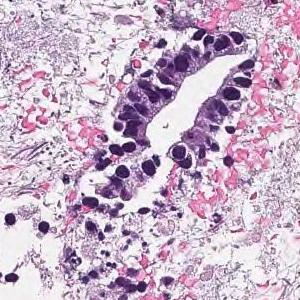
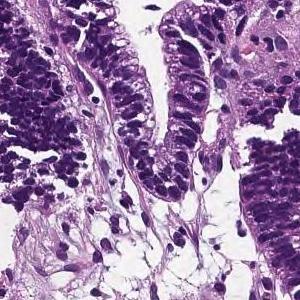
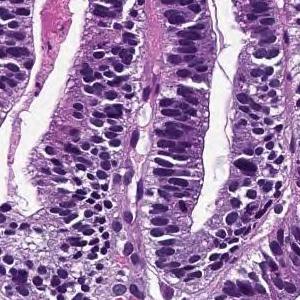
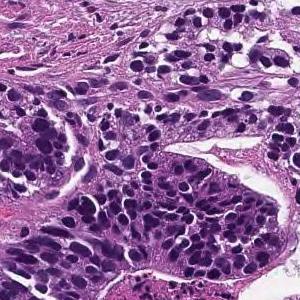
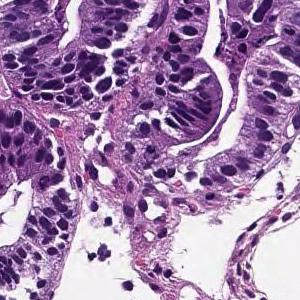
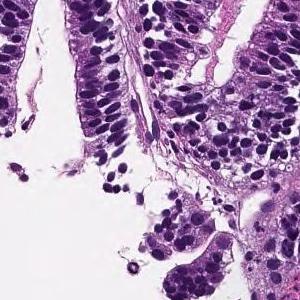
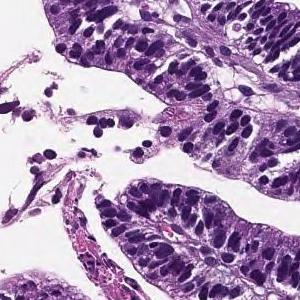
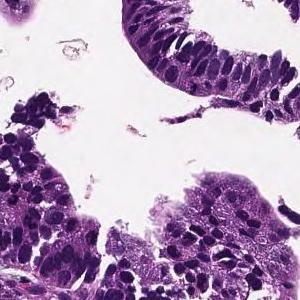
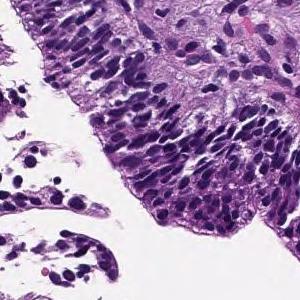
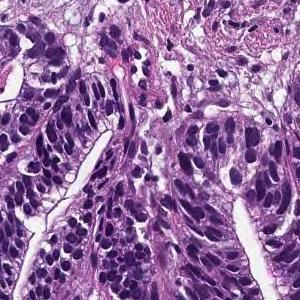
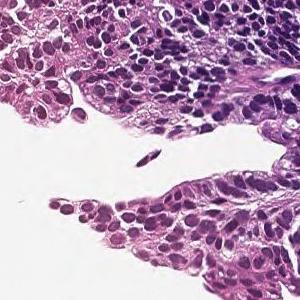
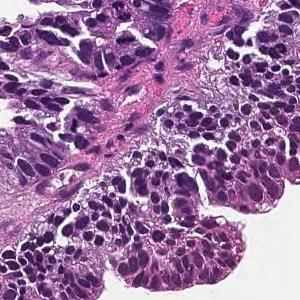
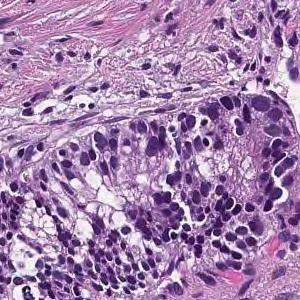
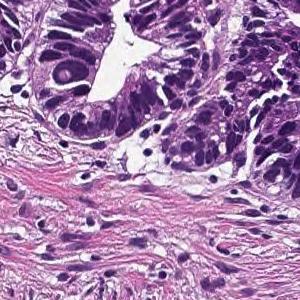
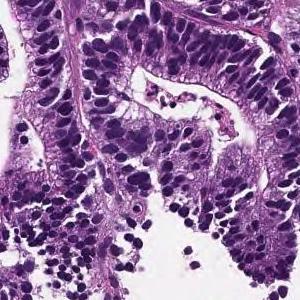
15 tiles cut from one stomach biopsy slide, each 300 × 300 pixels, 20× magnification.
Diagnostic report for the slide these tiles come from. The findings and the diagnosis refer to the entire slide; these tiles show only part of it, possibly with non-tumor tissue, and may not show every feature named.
Tumor cells are large, highly columnar, large club-shaped nuclei, and are associated with chromatin aggregation. Papillary adenocarcinoma.
